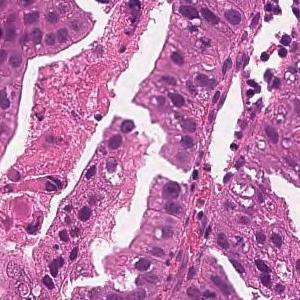
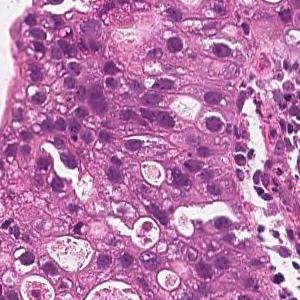
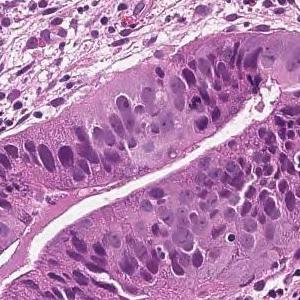
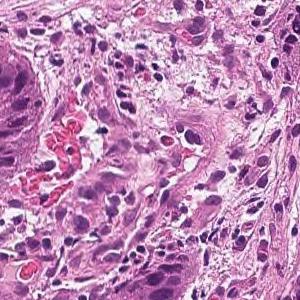
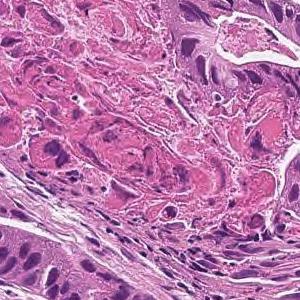
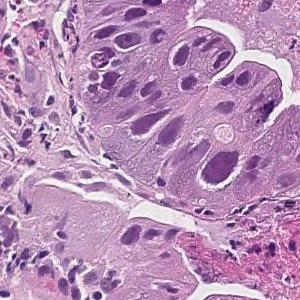
6 tiles from the same stomach biopsy slide; each 300 × 300 pixels.
Pathology report for the slide these tiles were cut from. The report and the diagnosis cover the entire slide, so not every feature they name need be visible here, and some tissue shown may not be tumor.
In the superficial epithelium, tumor tissue that invades by forming medium-sized to small, irregular ducts is observed. moderately differentiated tubular adenocarcinoma.
